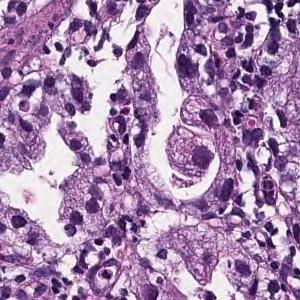
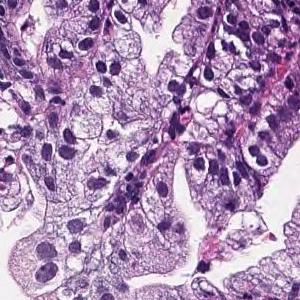
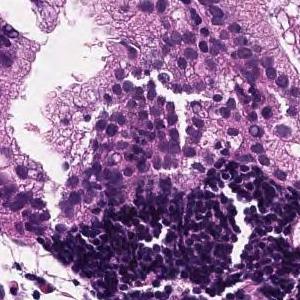
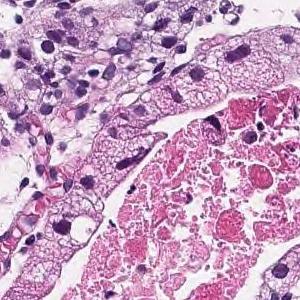
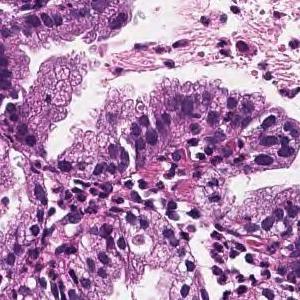
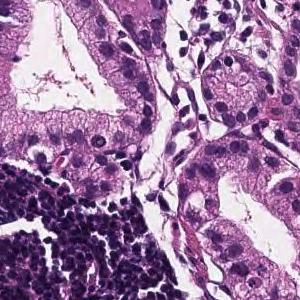
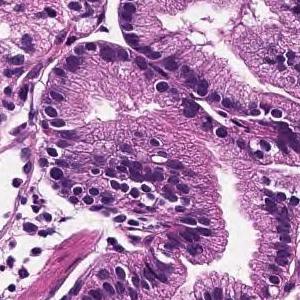
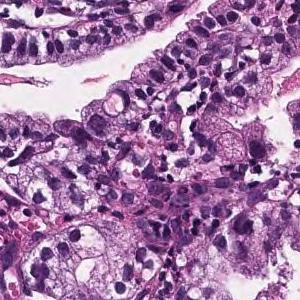
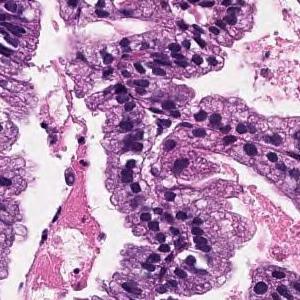
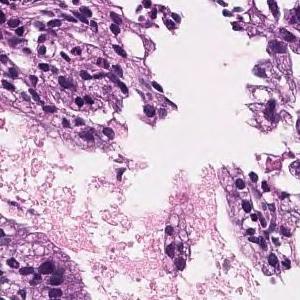
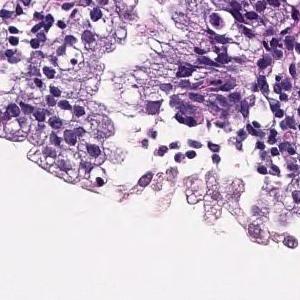
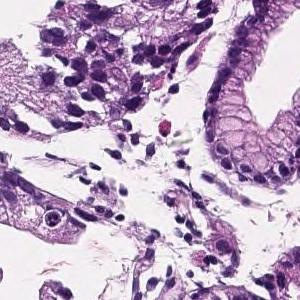
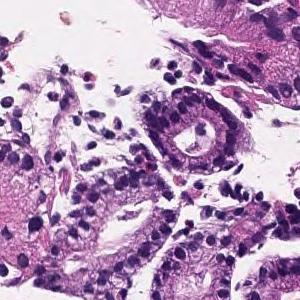
H&E stain, scanned at ×20, 13 image tiles from a single gastric biopsy slide.
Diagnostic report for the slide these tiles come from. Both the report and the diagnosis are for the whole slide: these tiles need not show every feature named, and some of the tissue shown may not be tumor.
In the superficial epithelium, tumor tissue that infiltrates by forming medium-sized papillary or small irregular ducts is observed. Papillary adenocarcinoma
